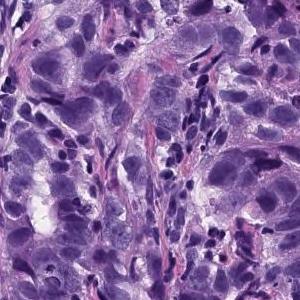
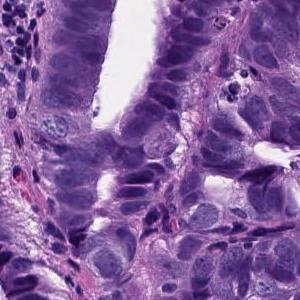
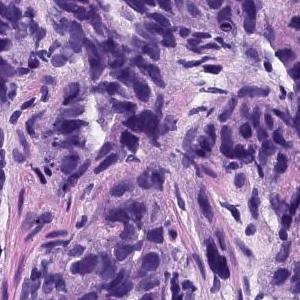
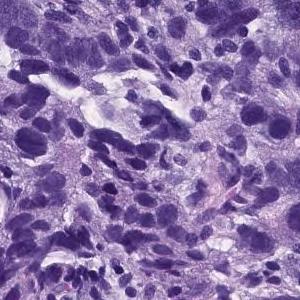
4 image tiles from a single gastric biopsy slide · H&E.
The pathologist's report on the biopsy slide these tiles were taken from. What the report and the diagnosis say applies to the whole slide; these tiles may miss some of the features named and may include tissue that is not tumor.
In the superficial epithelium, tumor tissue that invades by forming medium-sized to small, irregular ducts is observed. Moderately differentiated adenocarcinoma.
Tumor subtype: moderately differentiated tubular adenocarcinoma.
